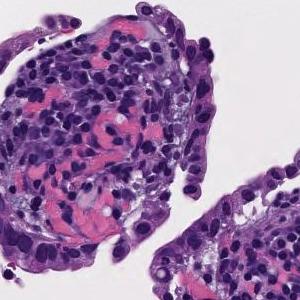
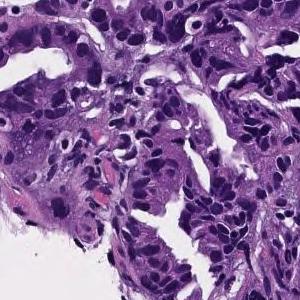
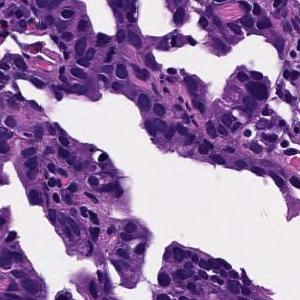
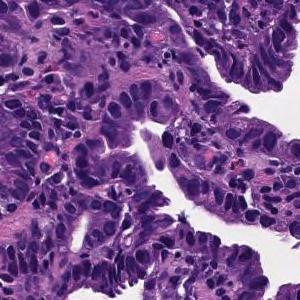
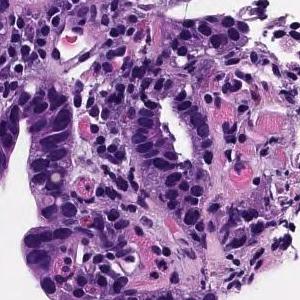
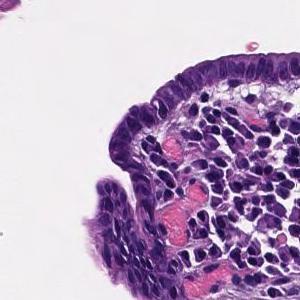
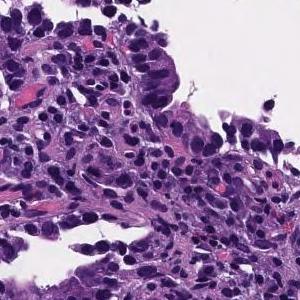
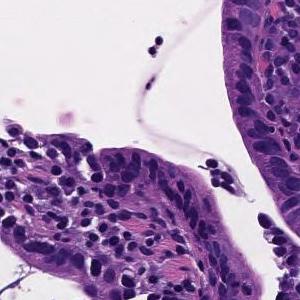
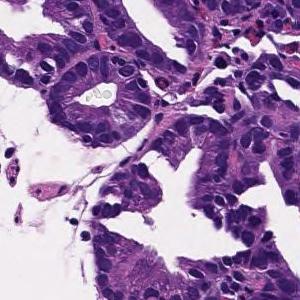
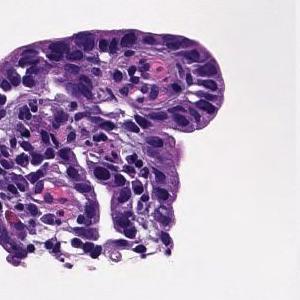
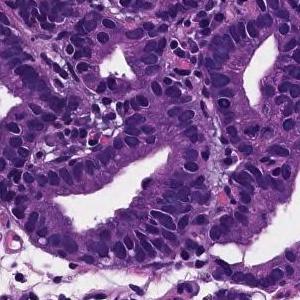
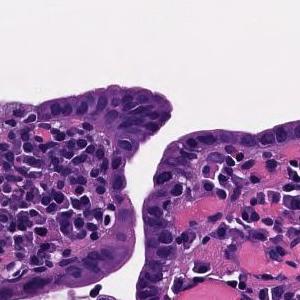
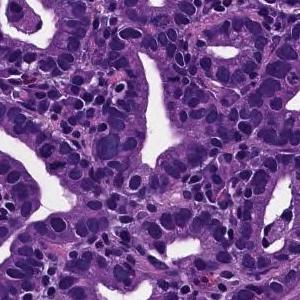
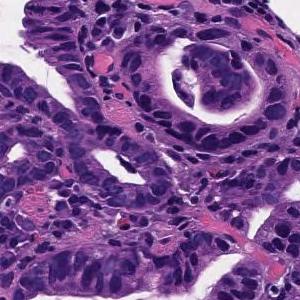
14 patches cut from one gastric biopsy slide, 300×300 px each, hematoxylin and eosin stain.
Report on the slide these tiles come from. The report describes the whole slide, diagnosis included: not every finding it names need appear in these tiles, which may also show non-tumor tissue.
From the superficial epithelium to the muscularis mucosae, tumor tissue consisting of medium-sized and irregular glandular ducts infiltrating is observed. Well differentiated tubular adenocarcinoma
